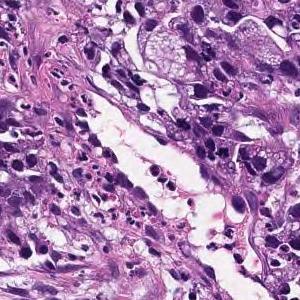
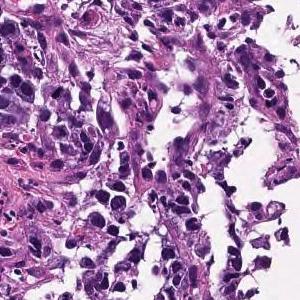
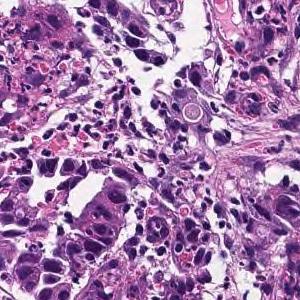
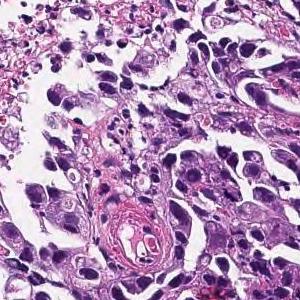
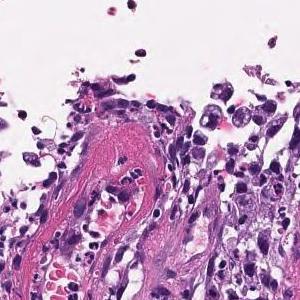
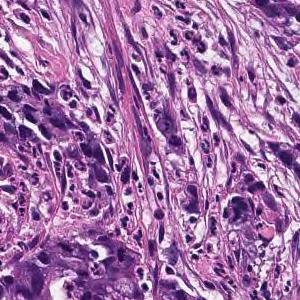
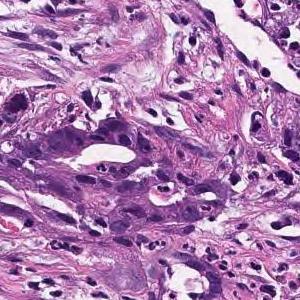
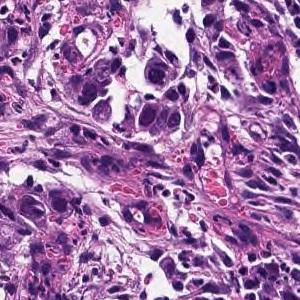
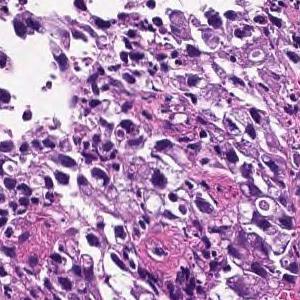
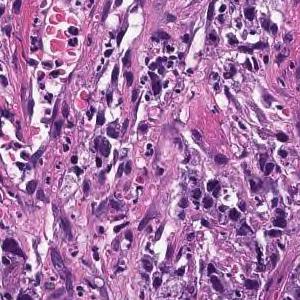
H&E stain · 20× magnification · 10 patches cut from one gastric biopsy slide · each 300 × 300 pixels.
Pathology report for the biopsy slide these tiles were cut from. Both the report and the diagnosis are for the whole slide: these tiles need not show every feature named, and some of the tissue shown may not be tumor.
Medium to small, irregular glandular ducts are formed in the superficial epithelium, and in some cases, the glandular ducts are fused to show solid alveolar lesions and infiltrating tumor tissue is observed. Moderately to poorly differentiated adenocarcinoma.
